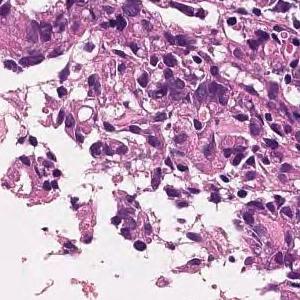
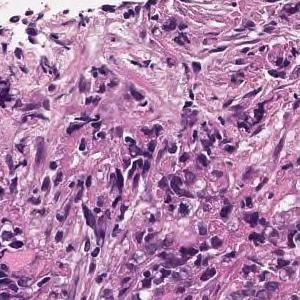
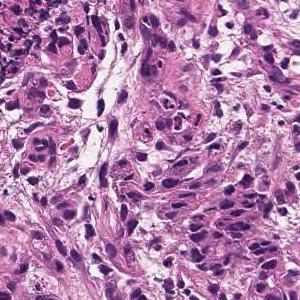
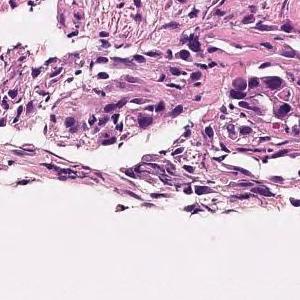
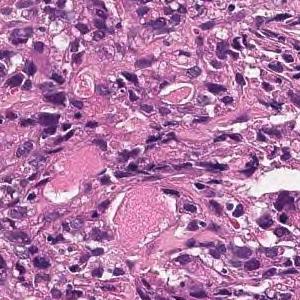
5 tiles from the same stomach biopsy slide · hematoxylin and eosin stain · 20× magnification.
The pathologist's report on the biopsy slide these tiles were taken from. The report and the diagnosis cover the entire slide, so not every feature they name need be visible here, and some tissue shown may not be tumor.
Tumor tissue consisting of cord-like or small, irregular glandular ducts fused and infiltrated is observed in the superficial epithelium. Poorly differentiated adenocarcinoma, non-solid type
The non-solid type named here is a Japanese Classification of Gastric Carcinoma category.
